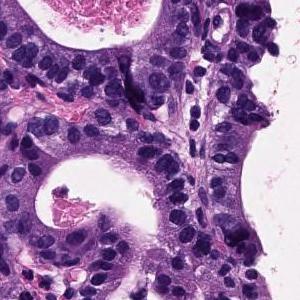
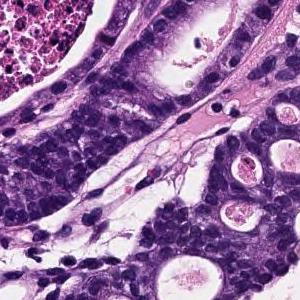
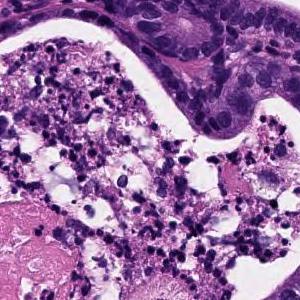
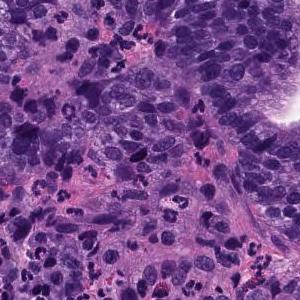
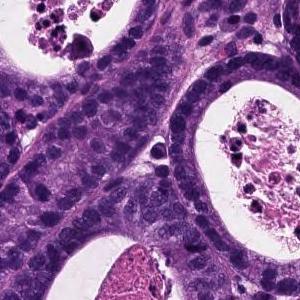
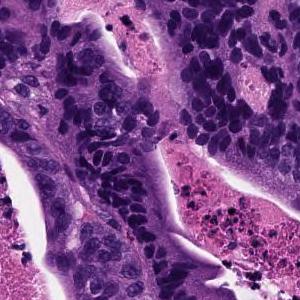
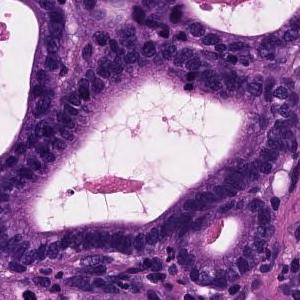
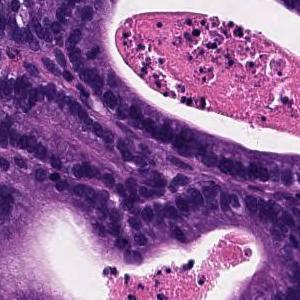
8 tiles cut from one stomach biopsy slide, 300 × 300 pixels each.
Report on the slide these tiles come from. The findings and the diagnosis refer to the entire slide; these tiles show only part of it, possibly with non-tumor tissue, and may not show every feature named.
From the superficial epithelium to the muscularis mucosae, tumor tissue consisting of medium-sized and irregular glandular ducts infiltrating is observed. Well differentiated tubular adenocarcinoma
